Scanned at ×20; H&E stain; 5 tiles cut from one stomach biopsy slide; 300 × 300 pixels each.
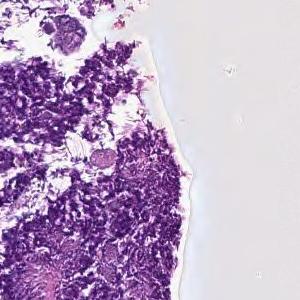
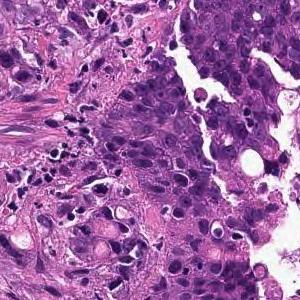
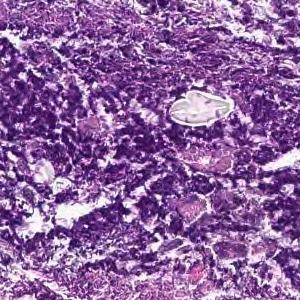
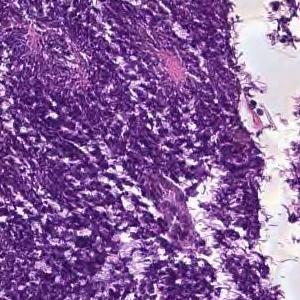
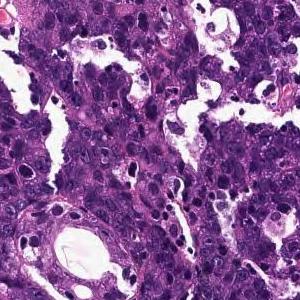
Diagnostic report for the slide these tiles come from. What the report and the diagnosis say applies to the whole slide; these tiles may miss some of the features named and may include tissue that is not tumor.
Cancers with polygonal nuclei do not show glandular formation and are densely, in part, cord-like and proliferate. Poorly differentiated adenocarcinoma
Tumor subtype: poorly differentiated adenocarcinoma, non-solid type.
"Non-solid type" is a category of the Japanese Classification of Gastric Carcinoma.
